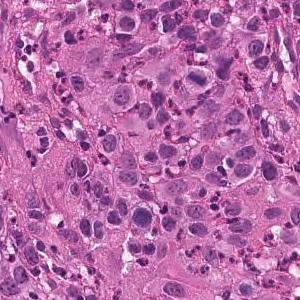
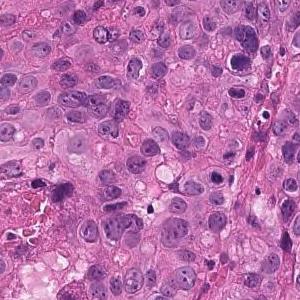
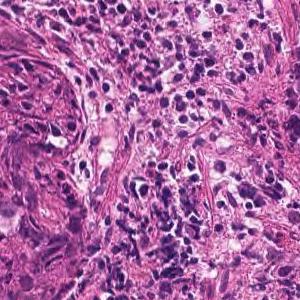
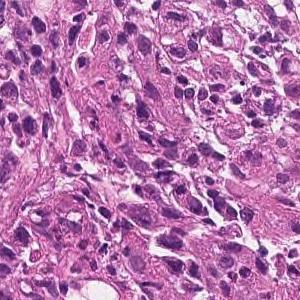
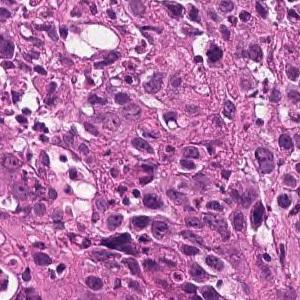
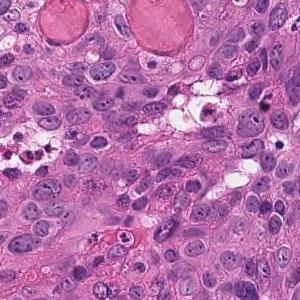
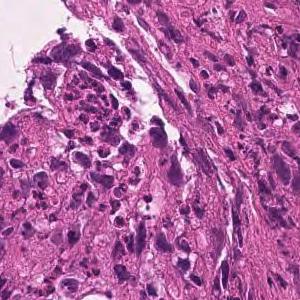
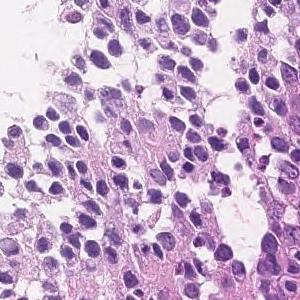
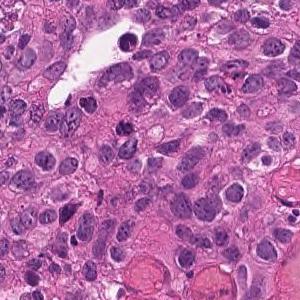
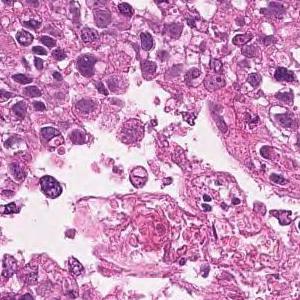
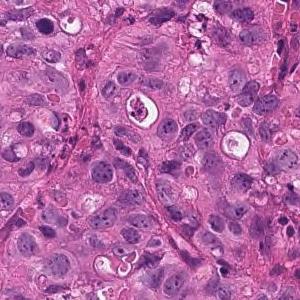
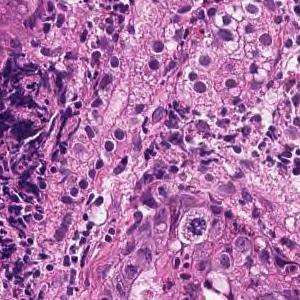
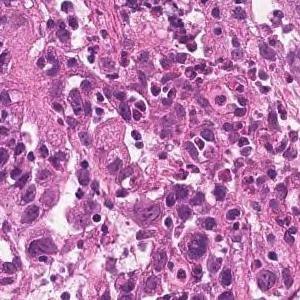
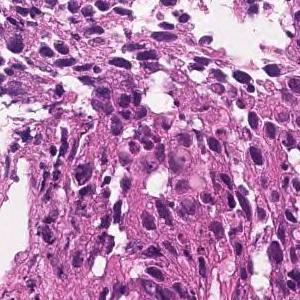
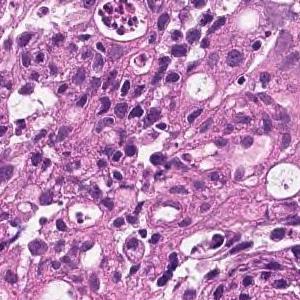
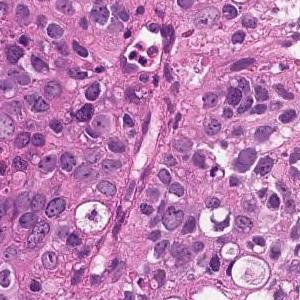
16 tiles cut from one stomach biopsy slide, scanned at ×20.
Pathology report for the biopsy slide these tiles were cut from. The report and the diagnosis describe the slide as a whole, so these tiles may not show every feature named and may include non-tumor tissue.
The superficial epithelium shows a large sheet-like shape, and some tumor tissue infiltrates with small irregular ducts. Poorly differentiated adenocarcinoma, solid-type
Histological subtype: Poorly differentiated adenocarcinoma, solid type. This name comes from the Japanese Classification of Gastric Carcinoma; the WHO 2019 classification calls it tubular adenocarcinoma, poorly differentiated.
